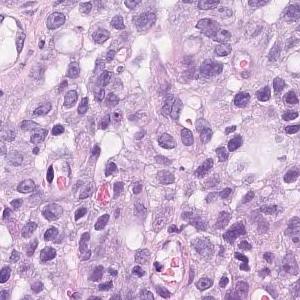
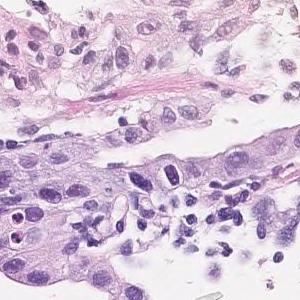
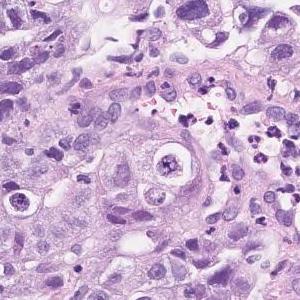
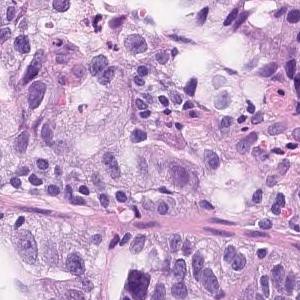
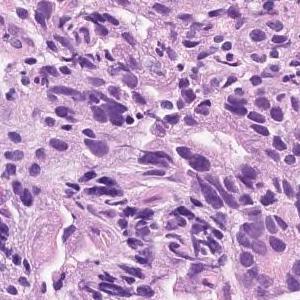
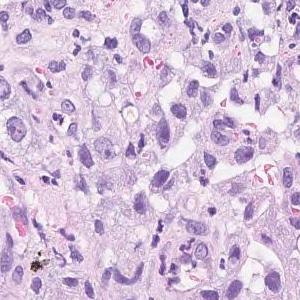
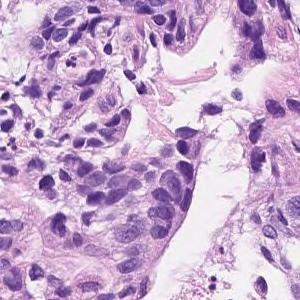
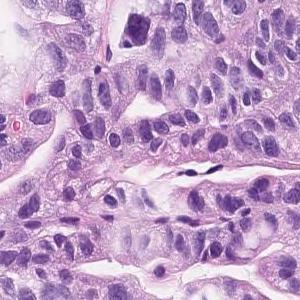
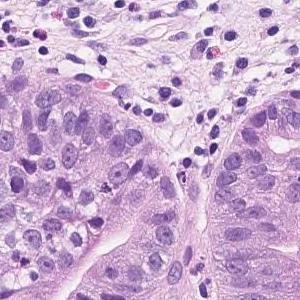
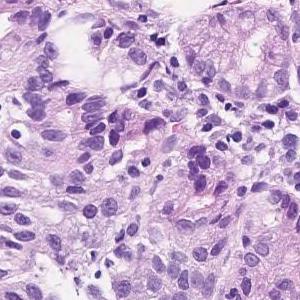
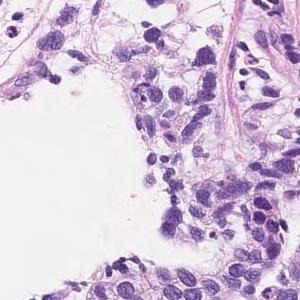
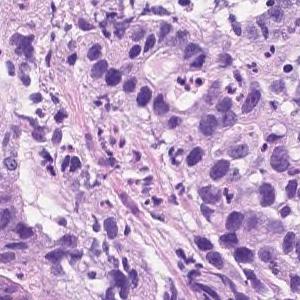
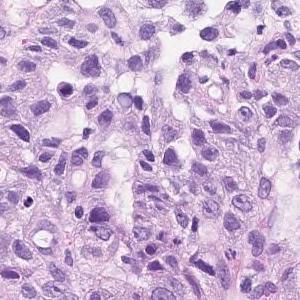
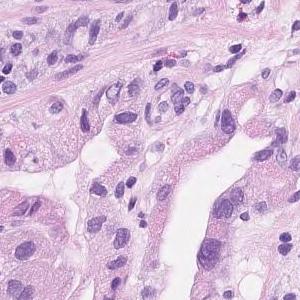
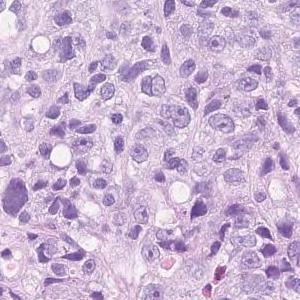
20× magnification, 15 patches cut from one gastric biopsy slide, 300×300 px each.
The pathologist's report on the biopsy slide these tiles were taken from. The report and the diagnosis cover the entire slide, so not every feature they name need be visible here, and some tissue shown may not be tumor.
In the superficial epithelium, tumor tissue that invades by forming medium-sized to small, irregular ducts is observed. Moderately to poorly differentiated adenocarcinoma
